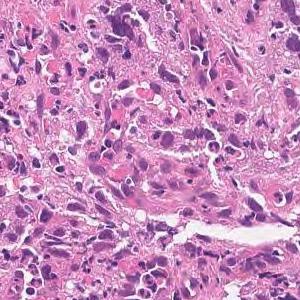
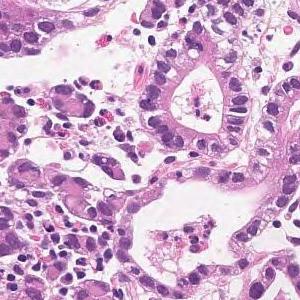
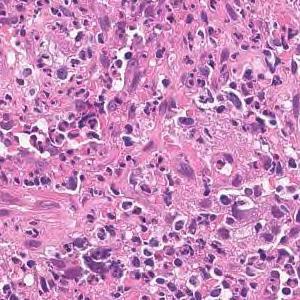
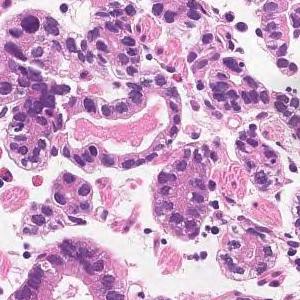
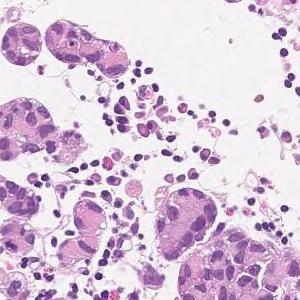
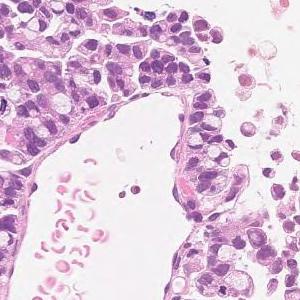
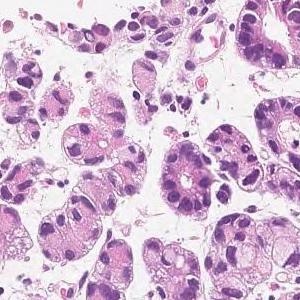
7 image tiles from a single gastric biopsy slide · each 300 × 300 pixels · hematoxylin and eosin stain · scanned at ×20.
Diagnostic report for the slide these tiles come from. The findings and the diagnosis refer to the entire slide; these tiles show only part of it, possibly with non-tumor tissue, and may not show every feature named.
Medium to small, irregular glandular ducts are formed in the superficial epithelium, and in some cases, the glandular ducts are fused to show solid alveolar lesions and infiltrating tumor tissue is observed. Moderately to poorly differentiated adenocarcinoma.
